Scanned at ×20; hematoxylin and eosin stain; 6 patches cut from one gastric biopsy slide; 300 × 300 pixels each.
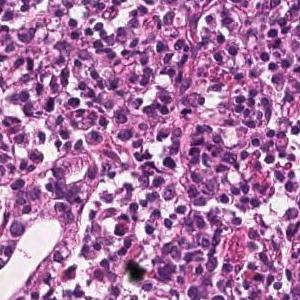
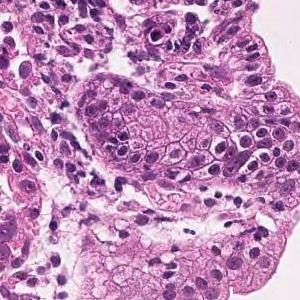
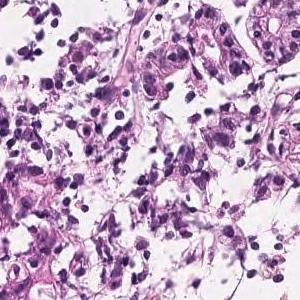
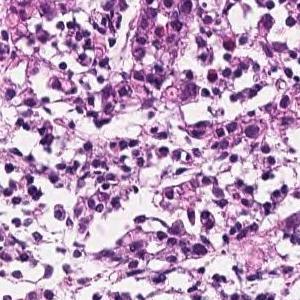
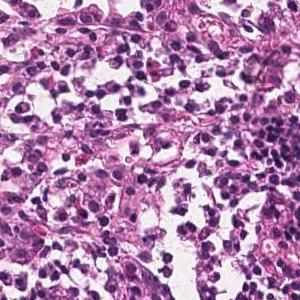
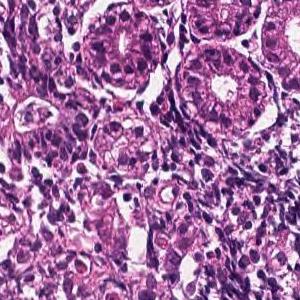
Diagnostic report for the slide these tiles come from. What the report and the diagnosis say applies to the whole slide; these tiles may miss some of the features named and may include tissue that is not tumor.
Tumor tissue consisting of cord-like or small, irregular glandular ducts fused and infiltrated is observed in the superficial epithelium. Poorly differentiated adenocarcinoma, non-solid type
The term "non-solid type" comes from the Japanese Classification of Gastric Carcinoma.
